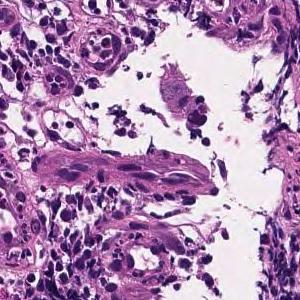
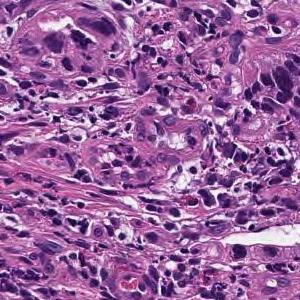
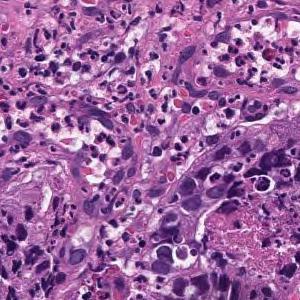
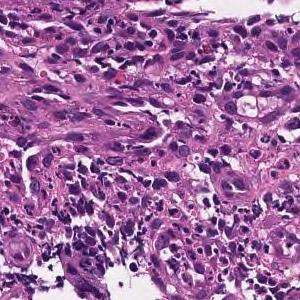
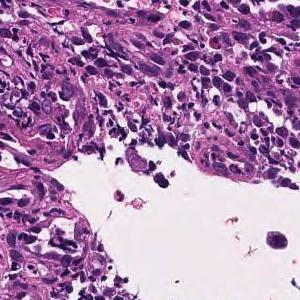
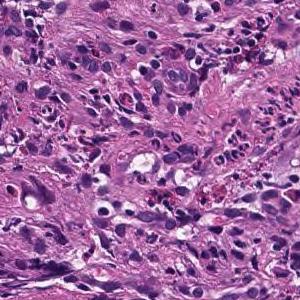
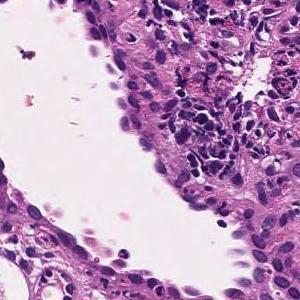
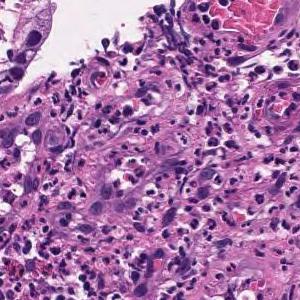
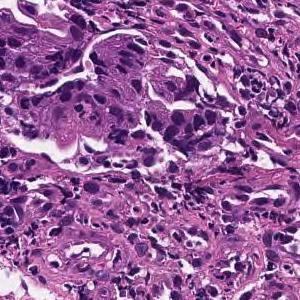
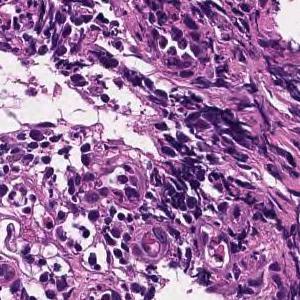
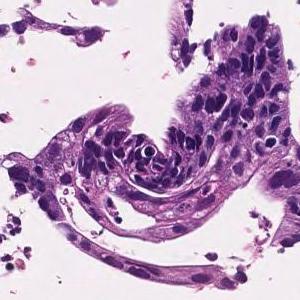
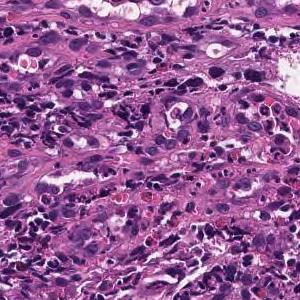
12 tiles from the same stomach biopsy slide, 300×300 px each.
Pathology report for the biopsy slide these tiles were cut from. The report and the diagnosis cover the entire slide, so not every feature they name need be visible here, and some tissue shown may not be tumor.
In the superficial epithelium, tumor tissue that invades by forming medium-sized to small, irregular ducts is observed. moderately differentiated tubular adenocarcinoma.
